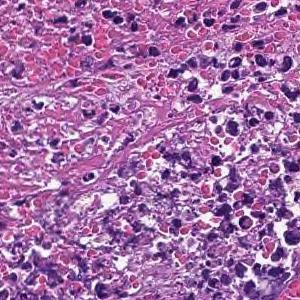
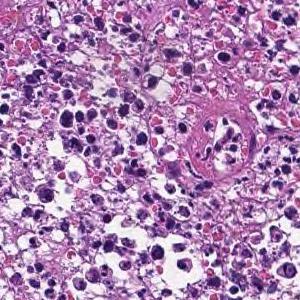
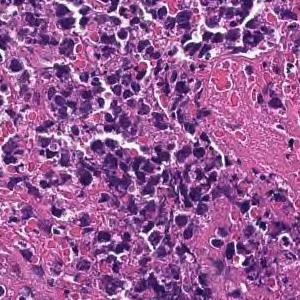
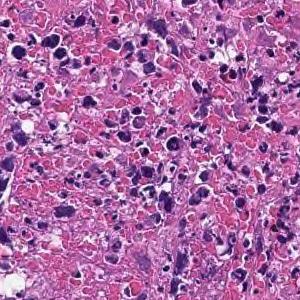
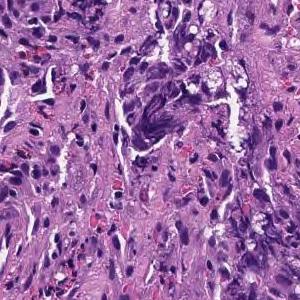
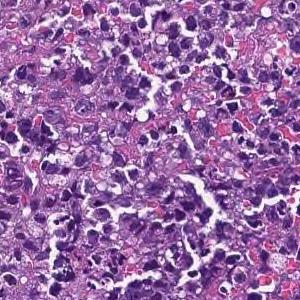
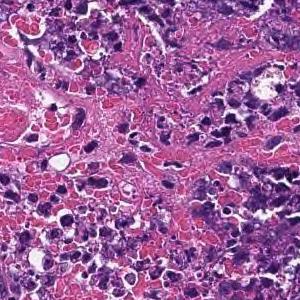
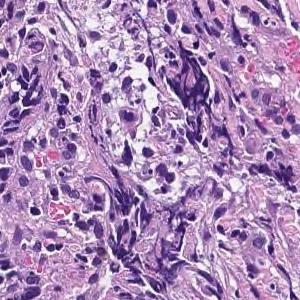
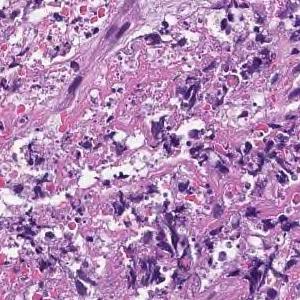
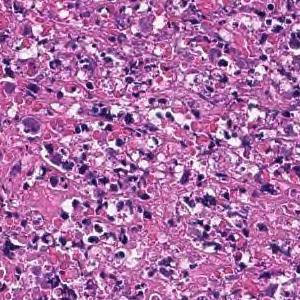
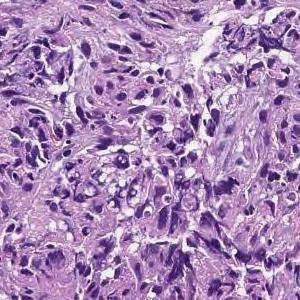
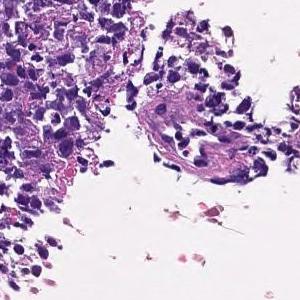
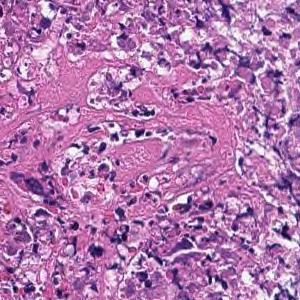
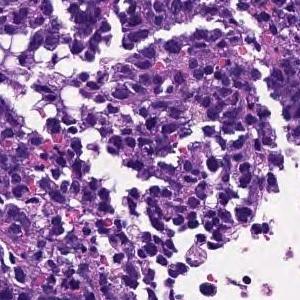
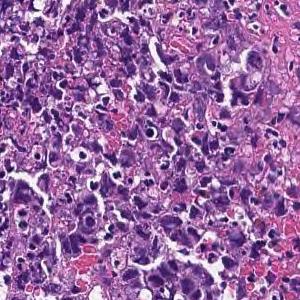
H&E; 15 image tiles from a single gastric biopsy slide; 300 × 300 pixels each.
The pathologist's report on the biopsy slide these tiles were taken from. Both the report and the diagnosis are for the whole slide: these tiles need not show every feature named, and some of the tissue shown may not be tumor.
Most are composed of coagulative necrotic tissue, but some show a large sheet-like shape, and some show tumor tissue infiltrating with a small cord-like structure. Poorly differentiated adenocarcinoma, solid-type
Tumor subtype: poorly differentiated adenocarcinoma, solid type. This name comes from the Japanese Classification of Gastric Carcinoma; the WHO 2019 classification calls it tubular adenocarcinoma, poorly differentiated.
